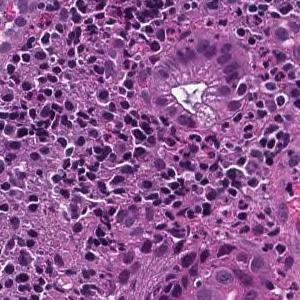
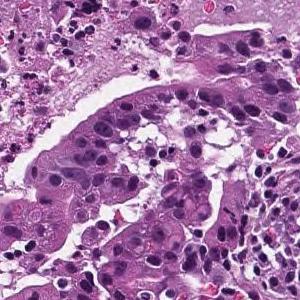
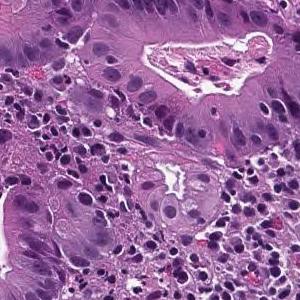
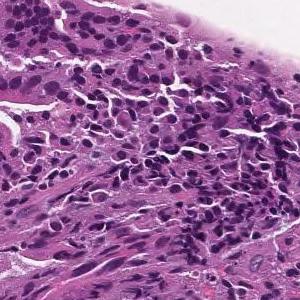
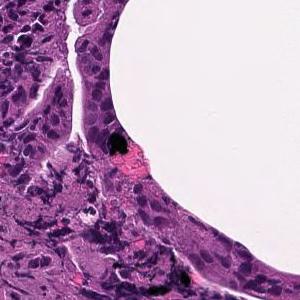
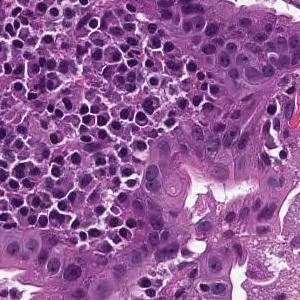
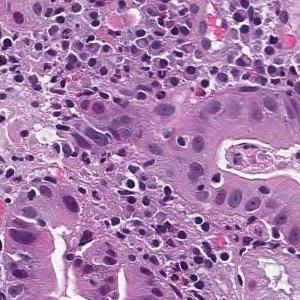
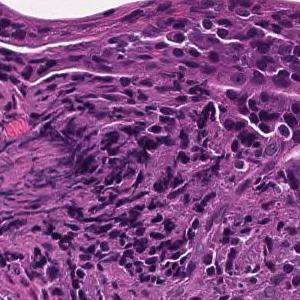
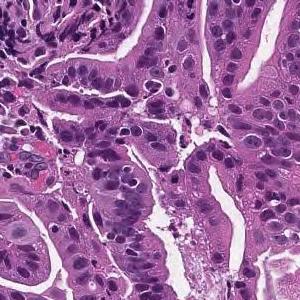
9 tiles cut from one stomach biopsy slide; ×20; H&E stain.
Diagnostic report for the slide these tiles come from. Both the report and the diagnosis are for the whole slide: these tiles need not show every feature named, and some of the tissue shown may not be tumor.
From the superficial epithelium to the muscularis mucosae, tumor tissue consisting of medium-sized and irregular glandular ducts infiltrating is observed. Well differentiated tubular adenocarcinoma
